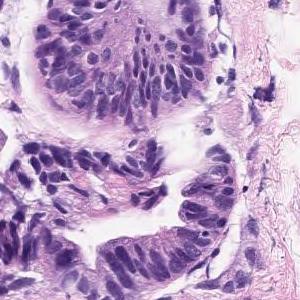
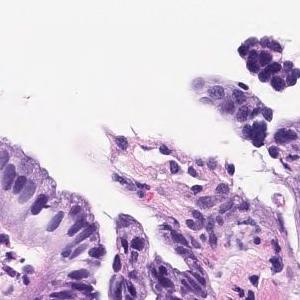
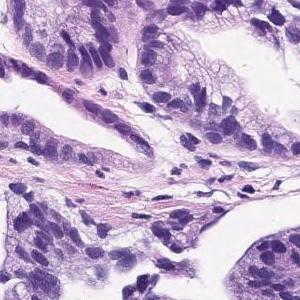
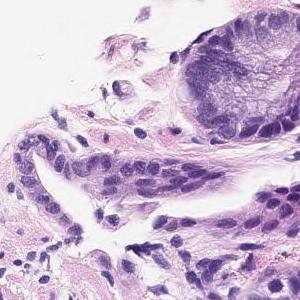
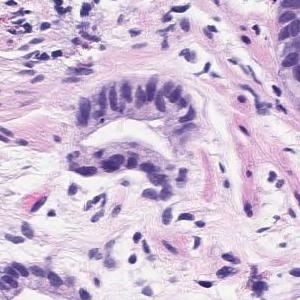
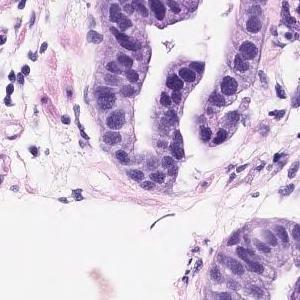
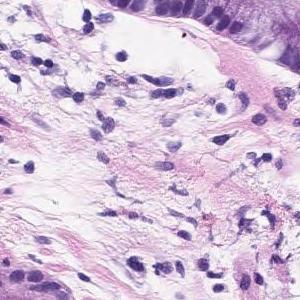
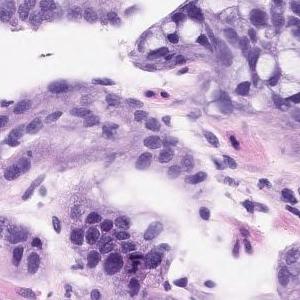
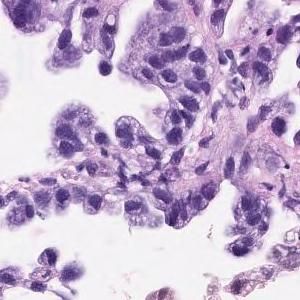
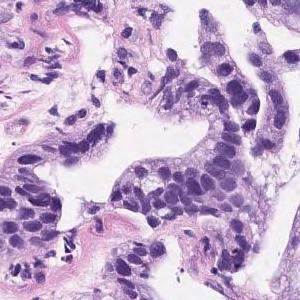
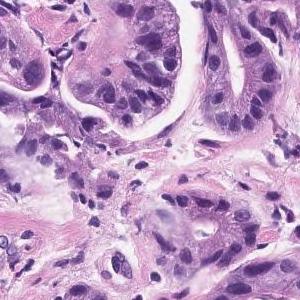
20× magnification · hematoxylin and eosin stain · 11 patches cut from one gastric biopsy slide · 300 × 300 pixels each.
The pathologist's report on the biopsy slide these tiles were taken from. The report and the diagnosis describe the slide as a whole, so these tiles may not show every feature named and may include non-tumor tissue.
The superficial tumors shows large papillary structures or large and small ducts and infiltrates. Papillary adenocarcinoma.
